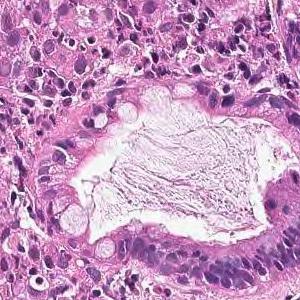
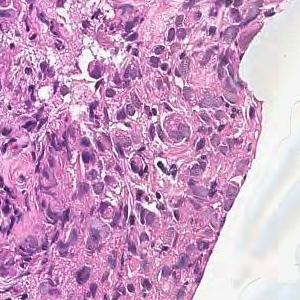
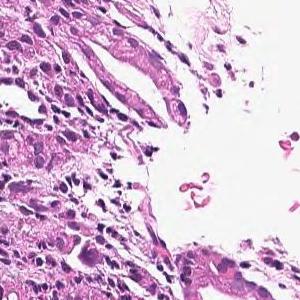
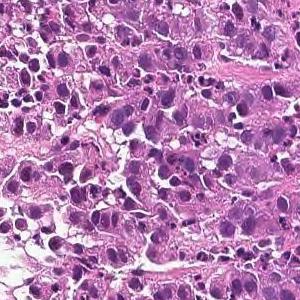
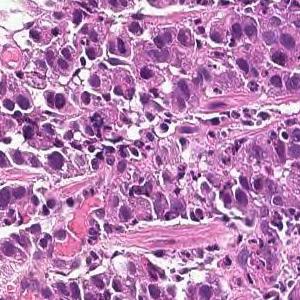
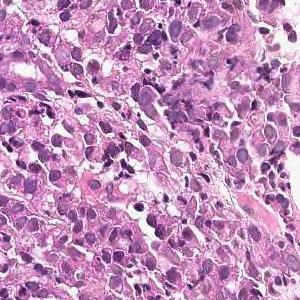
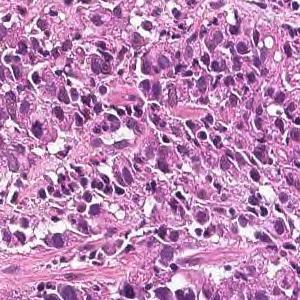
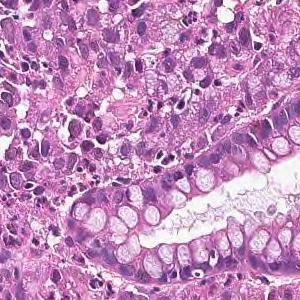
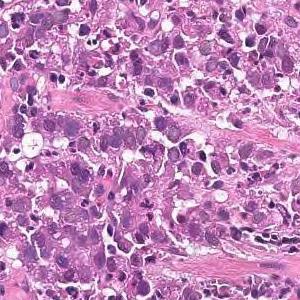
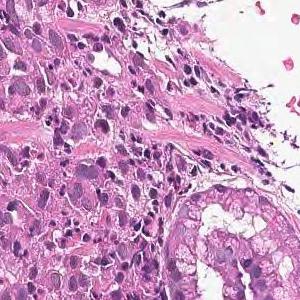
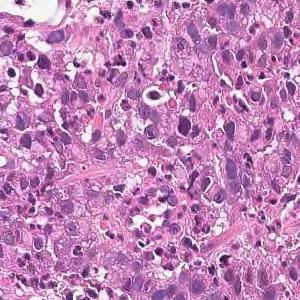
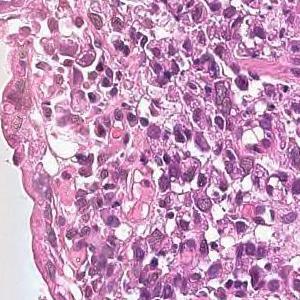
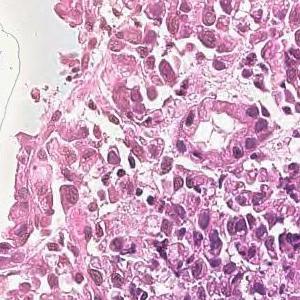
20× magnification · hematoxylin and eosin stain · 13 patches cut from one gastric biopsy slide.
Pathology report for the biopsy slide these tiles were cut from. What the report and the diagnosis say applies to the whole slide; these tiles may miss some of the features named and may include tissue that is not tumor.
The superficial epithelium shows a large sheet-like shape, and some tumor tissue infiltrates with small irregular ducts. Poorly differentiated adenocarcinoma, solid-type
Tumor subtype: poorly differentiated adenocarcinoma, solid type. This name comes from the Japanese Classification of Gastric Carcinoma; the WHO 2019 classification calls it tubular adenocarcinoma, poorly differentiated.
